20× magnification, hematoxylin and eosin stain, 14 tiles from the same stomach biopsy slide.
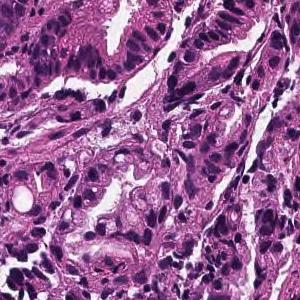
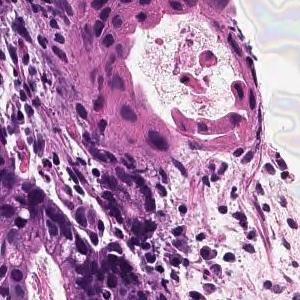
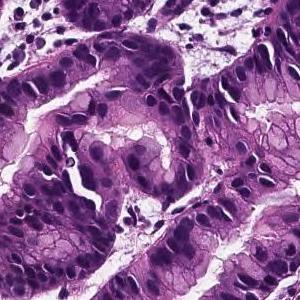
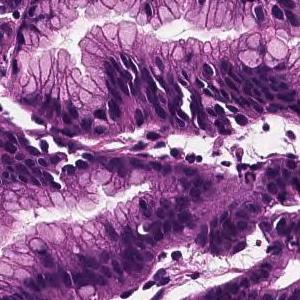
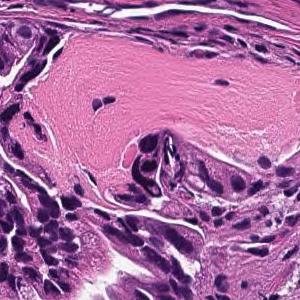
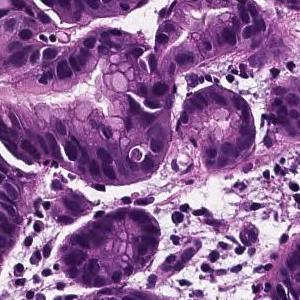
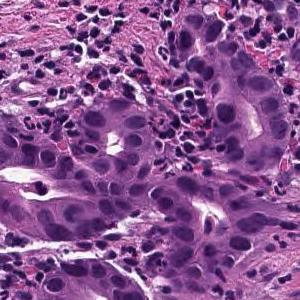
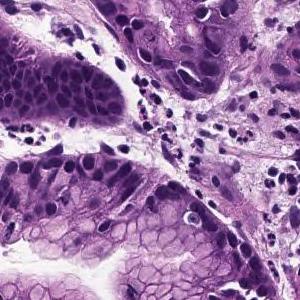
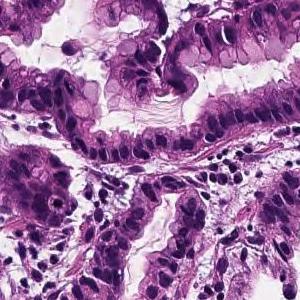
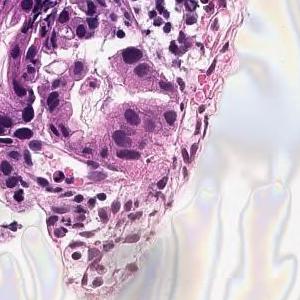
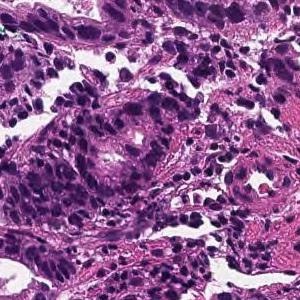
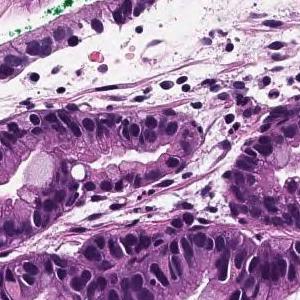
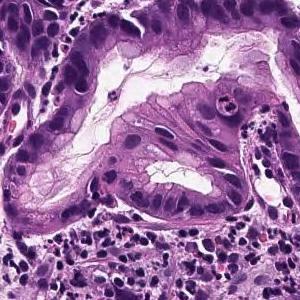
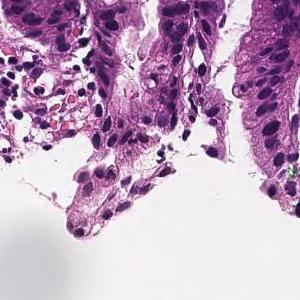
Pathology report for the biopsy slide these tiles were cut from. The report describes the whole slide, diagnosis included: not every finding it names need appear in these tiles, which may also show non-tumor tissue.
Tumor cells are large, highly columnar, large club-shaped nuclei, and are associated with chromatin aggregation. Papillary adenocarcinoma.
